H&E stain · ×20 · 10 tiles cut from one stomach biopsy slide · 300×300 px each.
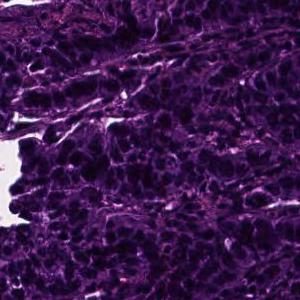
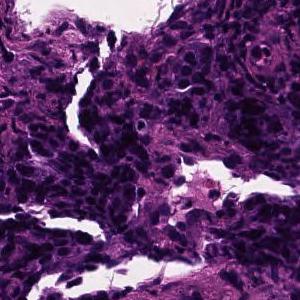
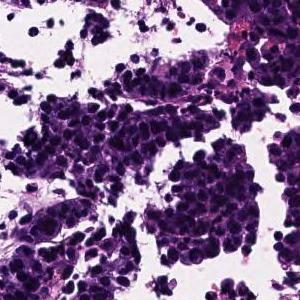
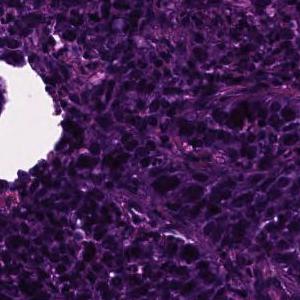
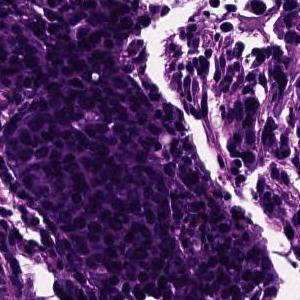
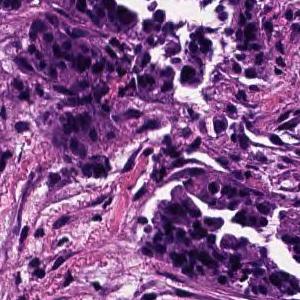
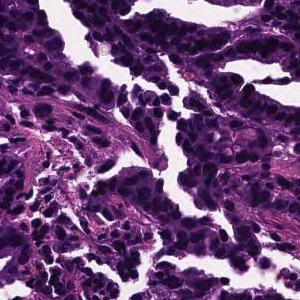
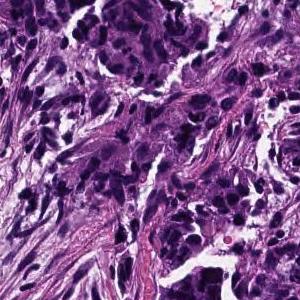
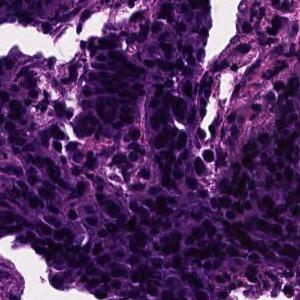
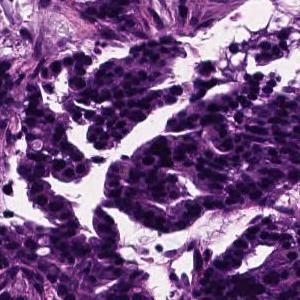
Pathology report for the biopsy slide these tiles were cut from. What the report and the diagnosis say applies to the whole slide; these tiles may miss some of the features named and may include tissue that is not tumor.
In the superficial epithelium, tumor tissue that invades by forming medium-sized to small, irregular ducts is observed. moderately differentiated tubular adenocarcinoma.
